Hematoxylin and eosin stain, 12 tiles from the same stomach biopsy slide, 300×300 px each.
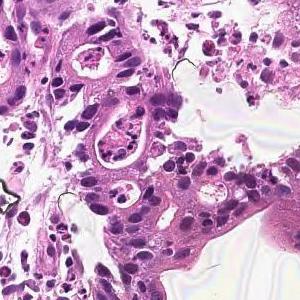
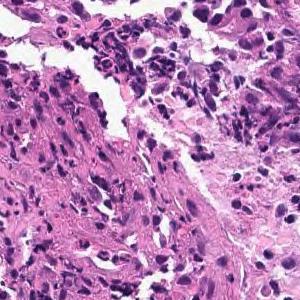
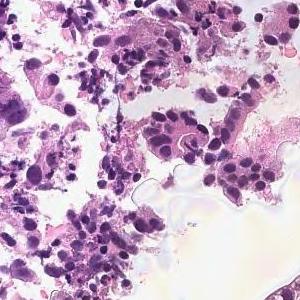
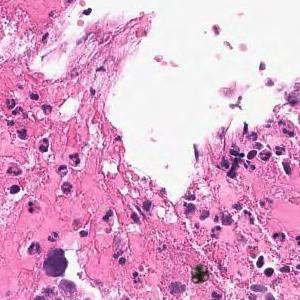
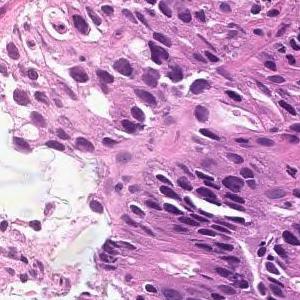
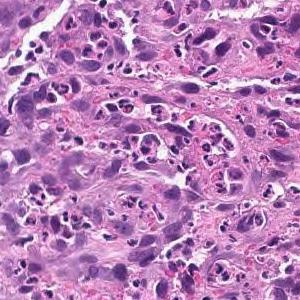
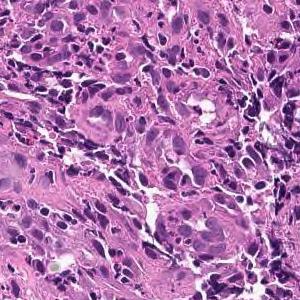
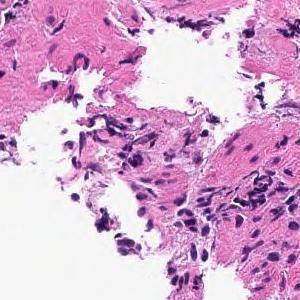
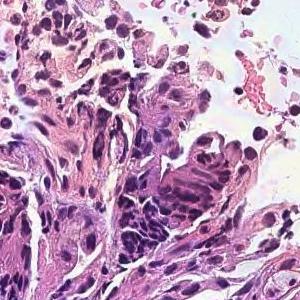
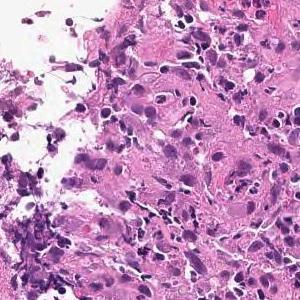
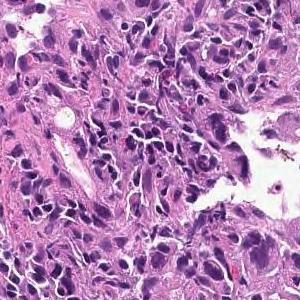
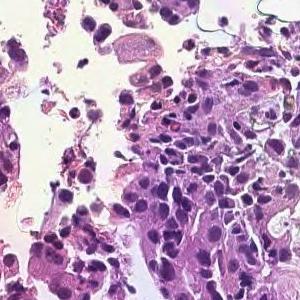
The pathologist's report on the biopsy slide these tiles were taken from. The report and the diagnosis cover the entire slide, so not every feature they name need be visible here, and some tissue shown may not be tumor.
On the superficial epithelium, tumor tissue consisting of large irregular glandular ducts partially fused and infiltrated is observed. Well to moderately differentiated tubular adenocarcinoma (well differentiated tubular adenocarcinoma, moderately differentiated tubular adenocarcinoma)
Histological subtype: Well to moderately differentiated tubular adenocarcinoma.
